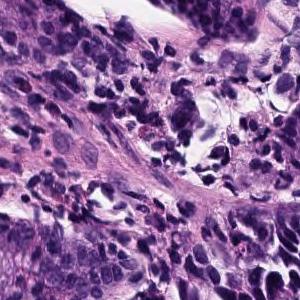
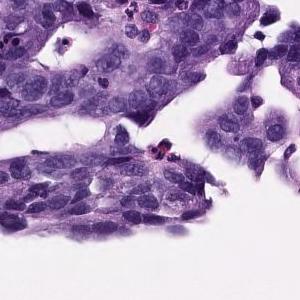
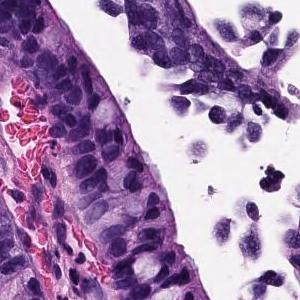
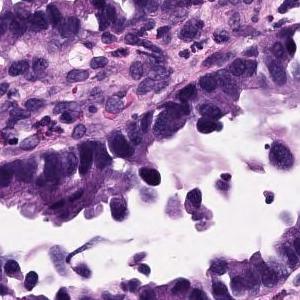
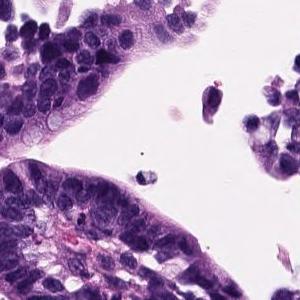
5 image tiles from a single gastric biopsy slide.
Pathology report for the slide these tiles were cut from. The findings and the diagnosis refer to the entire slide; these tiles show only part of it, possibly with non-tumor tissue, and may not show every feature named.
Atypical epithelium proliferating showing villus construction and irregular gland duct construction is observed. Moderately differentiated tubular adenocarcinoma.
